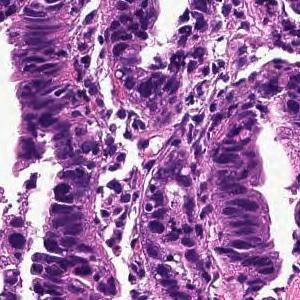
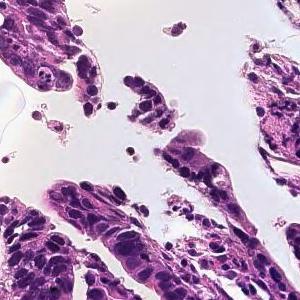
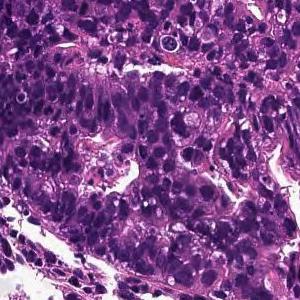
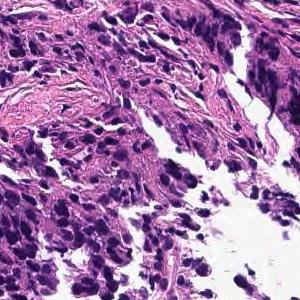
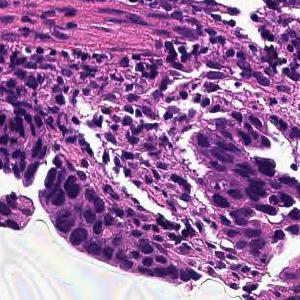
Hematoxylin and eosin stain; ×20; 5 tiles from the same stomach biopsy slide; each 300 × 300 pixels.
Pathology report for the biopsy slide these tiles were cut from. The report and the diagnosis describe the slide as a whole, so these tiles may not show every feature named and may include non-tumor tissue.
In the superficial epithelium, tumor tissue that invades by forming medium-sized to small, irregular ducts is observed. moderately differentiated tubular adenocarcinoma.
